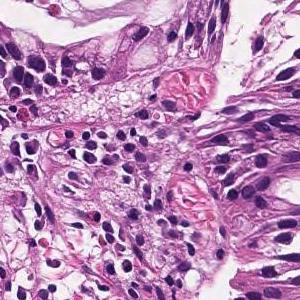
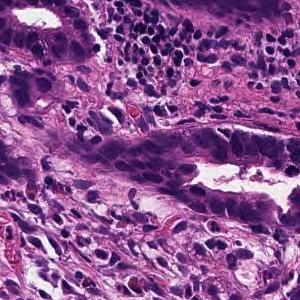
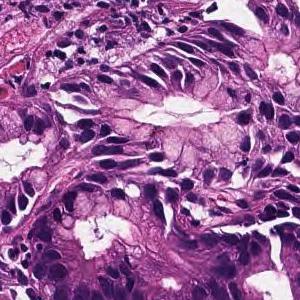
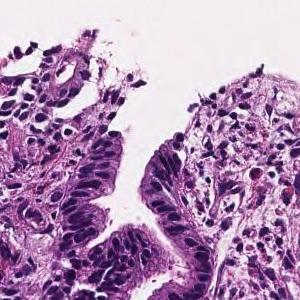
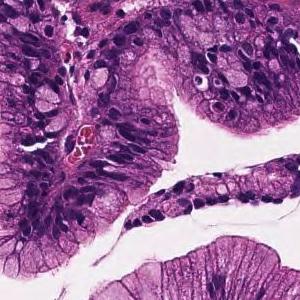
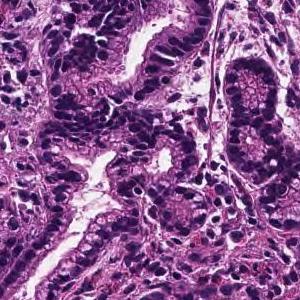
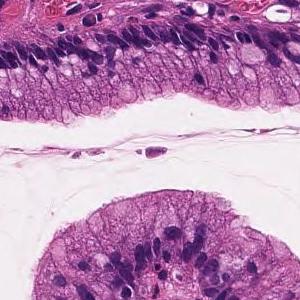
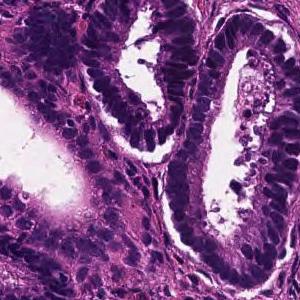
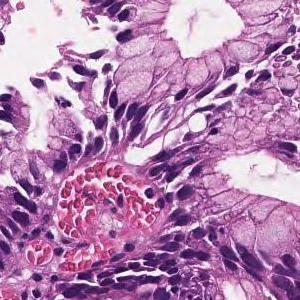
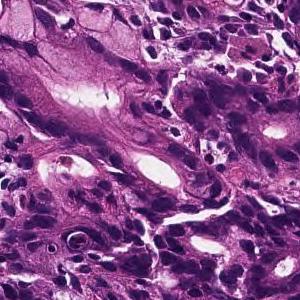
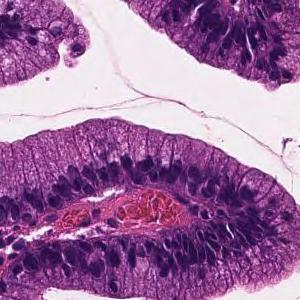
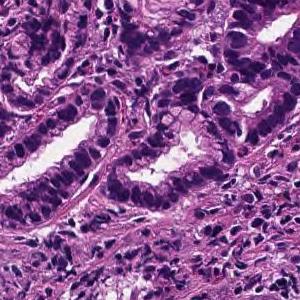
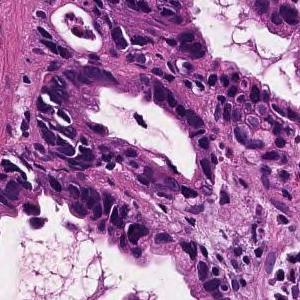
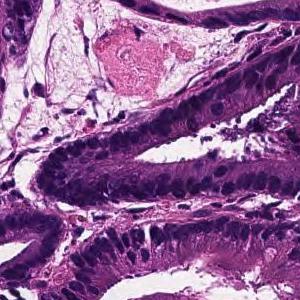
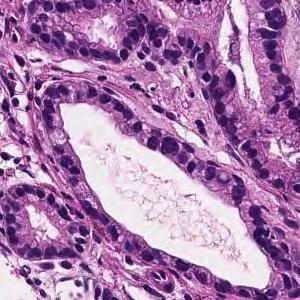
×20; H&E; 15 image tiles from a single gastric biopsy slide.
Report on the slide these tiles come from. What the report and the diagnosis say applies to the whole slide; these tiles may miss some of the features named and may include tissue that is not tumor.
On the superficial epithelium, tumor tissue consisting of medium-sized and irregular glandular ducts partially fused and infiltrated is observed. Well to moderately differentiated tubular adenocarcinoma (well differentiated tubular adenocarcinoma-moderately differentiated tubular adenocarcinoma)
Tumor subtype: well to moderately differentiated tubular adenocarcinoma.
